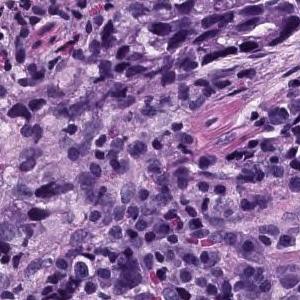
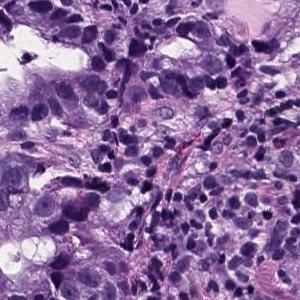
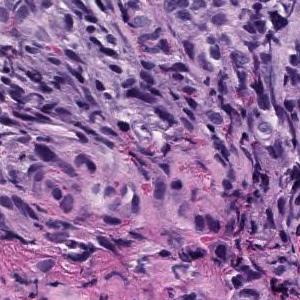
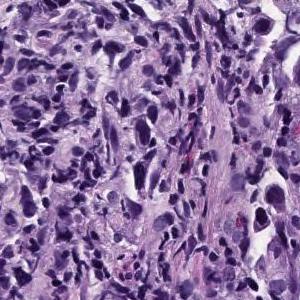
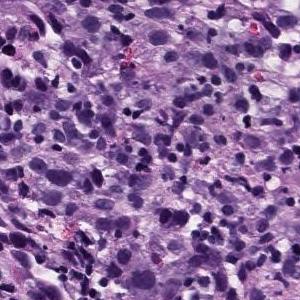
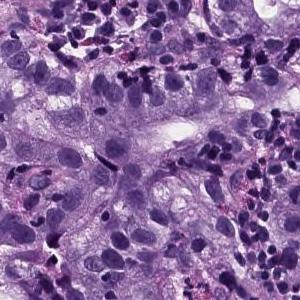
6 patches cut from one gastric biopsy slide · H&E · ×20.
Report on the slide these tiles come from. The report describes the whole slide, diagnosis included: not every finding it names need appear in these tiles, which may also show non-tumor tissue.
Atypical epithelial cells infiltrating and proliferating while forming solid or cord-like fused glandular cavities of different sizes is observed. moderately differentiated tubular adenocarcinoma, poorly differentiated adenocarcinoma.
Subtype: Moderately to poorly differentiated adenocarcinoma.
